H&E · 20× magnification · 5 tiles cut from one stomach biopsy slide · 300×300 px each.
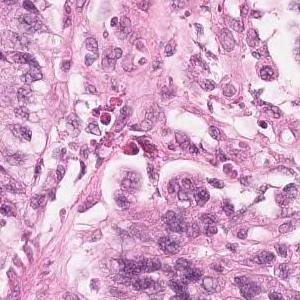
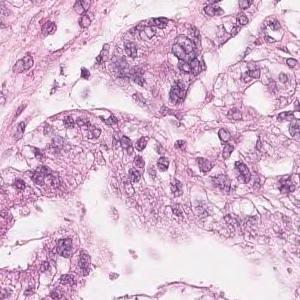
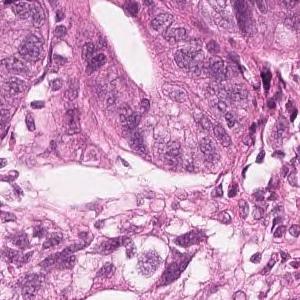
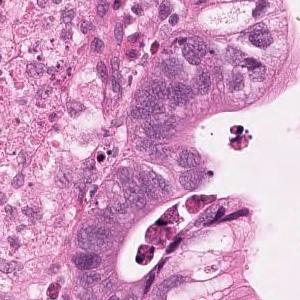
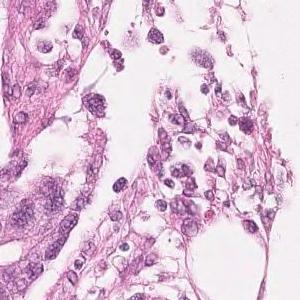
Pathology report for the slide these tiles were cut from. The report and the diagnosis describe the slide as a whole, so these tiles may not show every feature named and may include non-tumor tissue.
Highly columnar epithelium with disordered nuclear localization proliferates showing fusion ductal construction. moderately differentiated tubular adenocarcinoma
